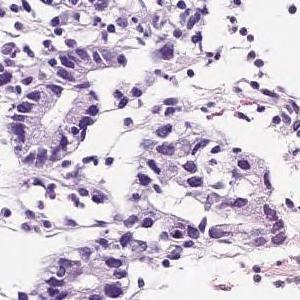
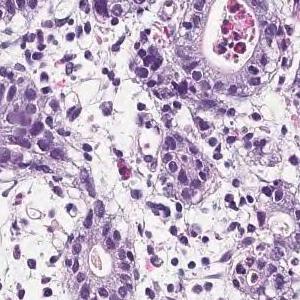
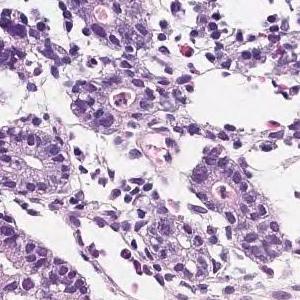
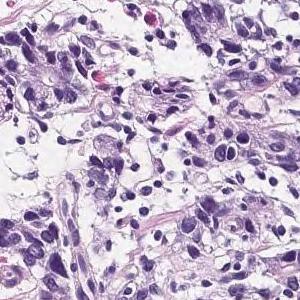
Hematoxylin and eosin stain; 20× magnification; 4 tiles from the same stomach biopsy slide; 300 × 300 pixels each.
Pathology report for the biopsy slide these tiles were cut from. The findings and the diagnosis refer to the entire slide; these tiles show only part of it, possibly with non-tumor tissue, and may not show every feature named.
Well-differentiated tubular adenocarcinoma that grows with some small irregular ducts fused to the superficial epithelium. Well differentiated tubular adenocarcinoma
